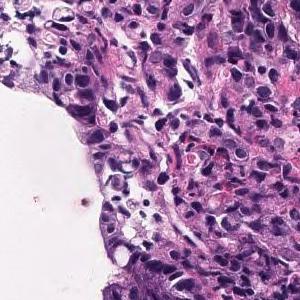
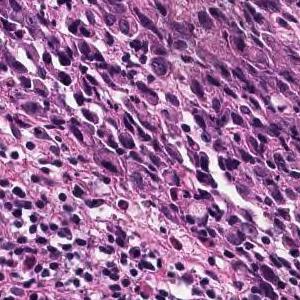
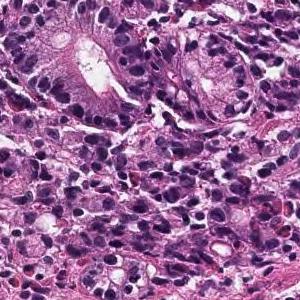
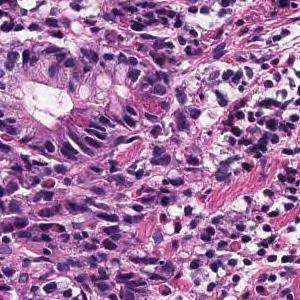
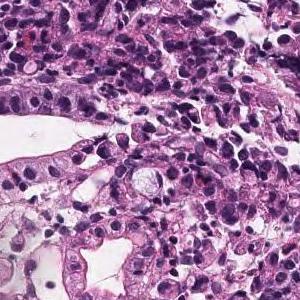
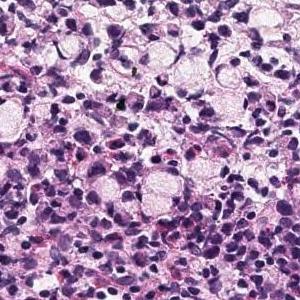
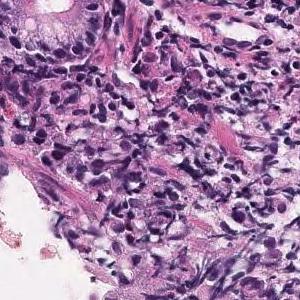
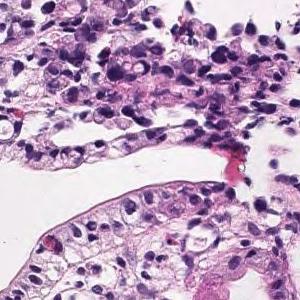
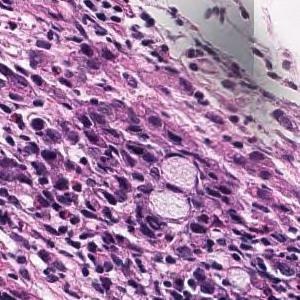
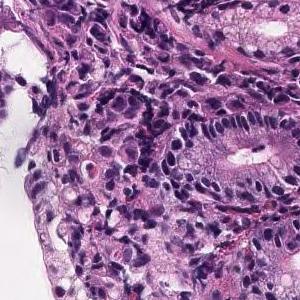
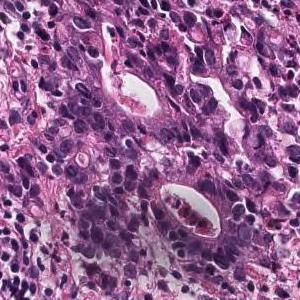
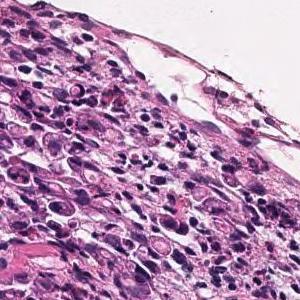
12 patches cut from one gastric biopsy slide · each 300 × 300 pixels · H&E stain.
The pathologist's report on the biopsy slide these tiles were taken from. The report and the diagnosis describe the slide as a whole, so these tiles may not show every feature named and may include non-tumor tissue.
Atypical epithelium with abundant mucus in the vesicles shows a solid growth without ductal construction. Signet ring cell carcinoma
